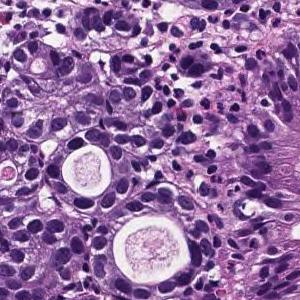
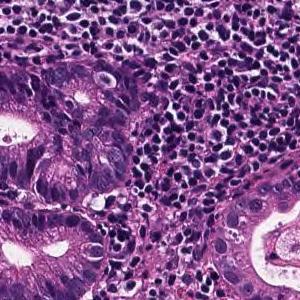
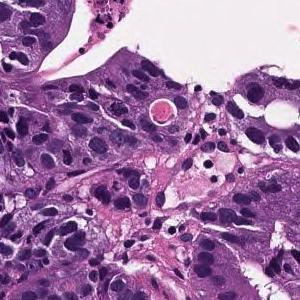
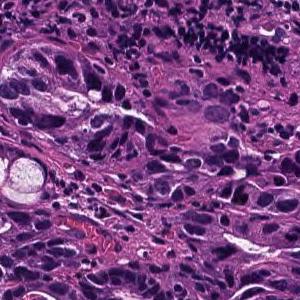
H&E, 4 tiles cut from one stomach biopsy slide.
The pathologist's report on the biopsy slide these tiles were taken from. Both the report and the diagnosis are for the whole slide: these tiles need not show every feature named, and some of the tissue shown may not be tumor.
In the superficial epithelium, tumor tissue that invades by forming medium-sized to small, irregular ducts is observed. Well differentiated tubular adenocarcinoma.
